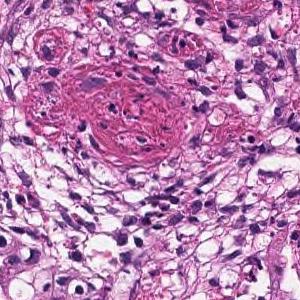
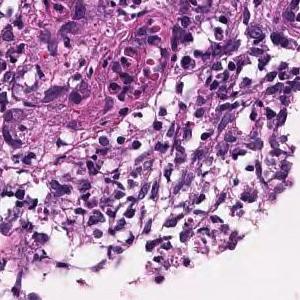
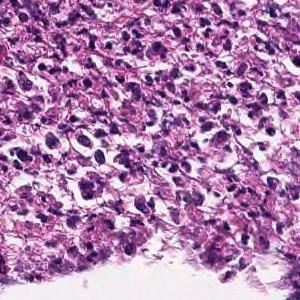
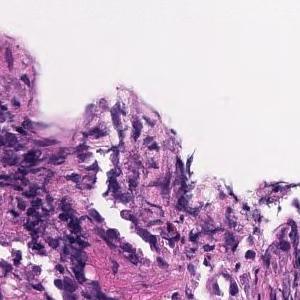
4 image tiles from a single gastric biopsy slide, ×20.
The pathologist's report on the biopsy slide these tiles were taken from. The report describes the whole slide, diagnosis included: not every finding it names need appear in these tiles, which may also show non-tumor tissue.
In the superficial epithelium, medium to small, irregular gland ducts are formed, and in some cases, the gland ducts are fused to show solid alveolar lesions and infiltrating tumor tissue is observed. Moderately to poorly differentiated adenocarcinoma.
